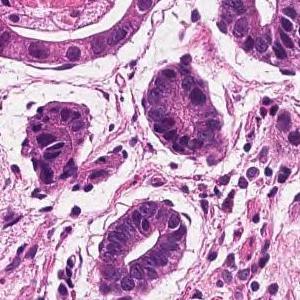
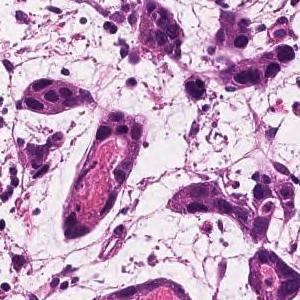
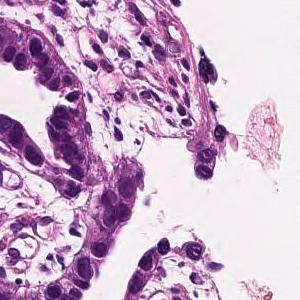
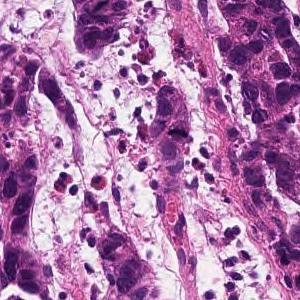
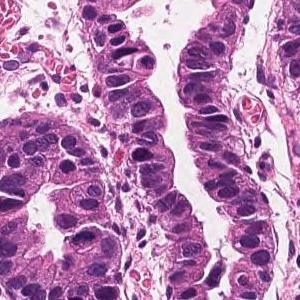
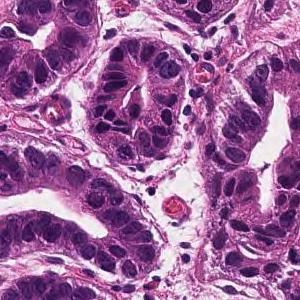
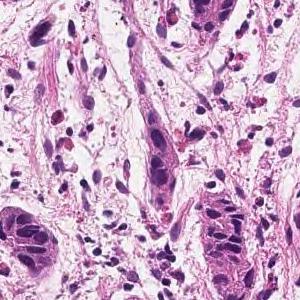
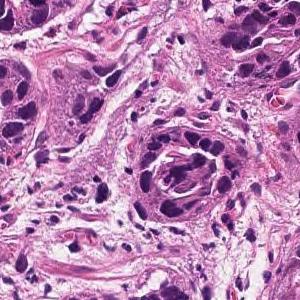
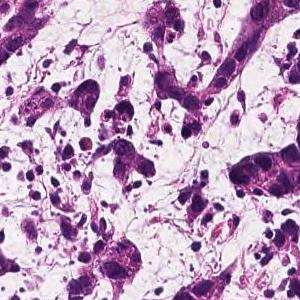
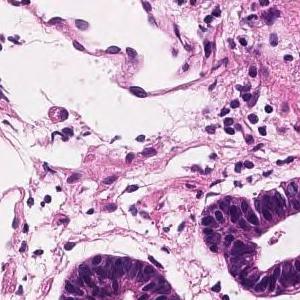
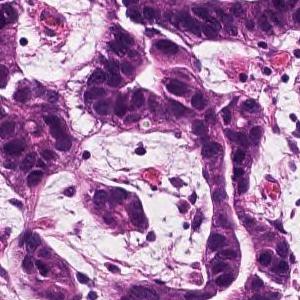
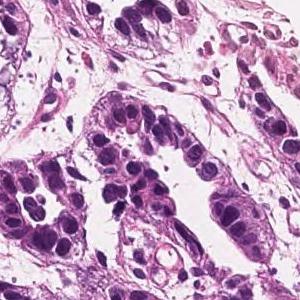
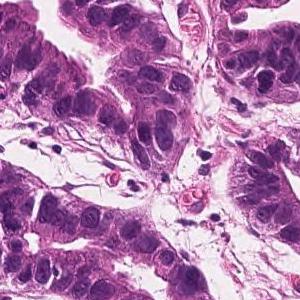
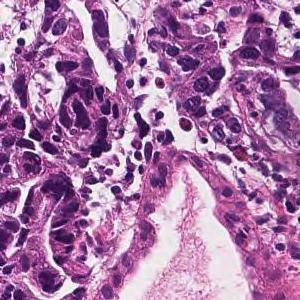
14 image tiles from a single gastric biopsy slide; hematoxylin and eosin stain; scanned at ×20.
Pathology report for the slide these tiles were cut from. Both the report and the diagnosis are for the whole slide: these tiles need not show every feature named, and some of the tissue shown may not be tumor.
In the superficial epithelium, tumor tissue that invades by forming medium-sized to small, irregular ducts is observed. Well differentiated tubular adenocarcinoma.
